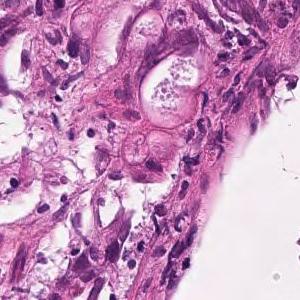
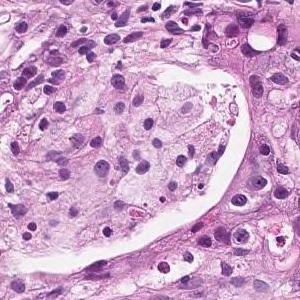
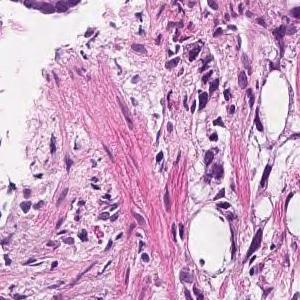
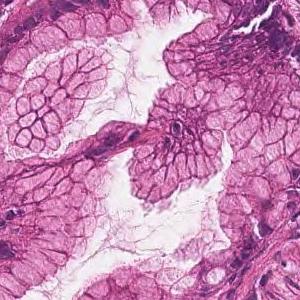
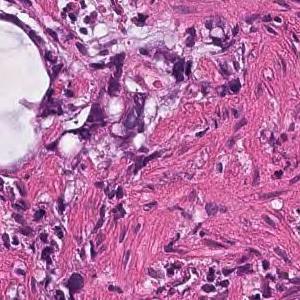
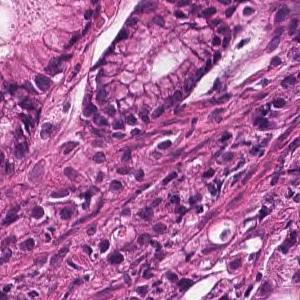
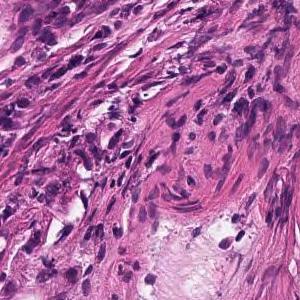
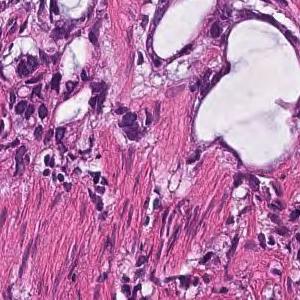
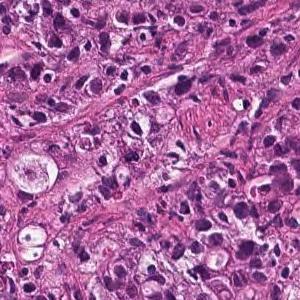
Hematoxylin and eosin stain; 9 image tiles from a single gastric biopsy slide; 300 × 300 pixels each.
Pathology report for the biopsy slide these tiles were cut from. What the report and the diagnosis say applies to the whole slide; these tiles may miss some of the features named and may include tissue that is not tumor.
In the gastric mucosal tissue, tumor tissue that forms irregular glandular cavities of medium to small size or shows small cords and infiltrates is observed. moderately differentiated tubular adenocarcinoma
